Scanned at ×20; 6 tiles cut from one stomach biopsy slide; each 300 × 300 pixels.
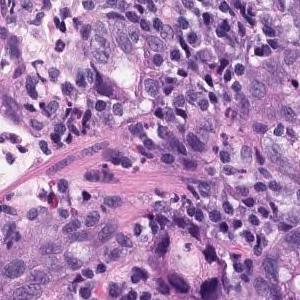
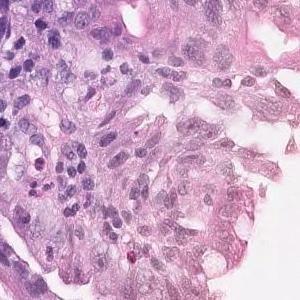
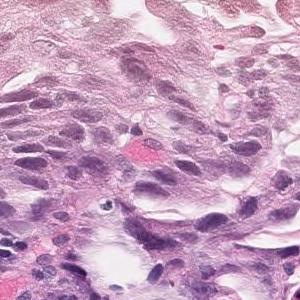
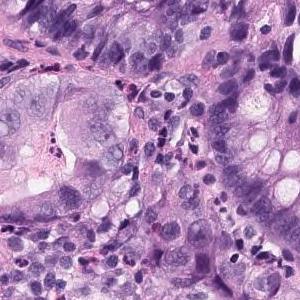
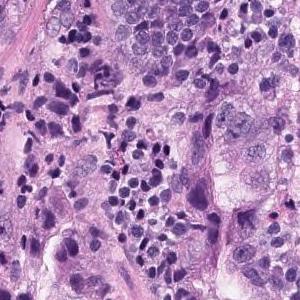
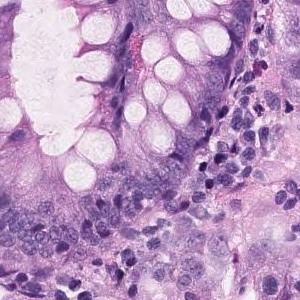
Report on the slide these tiles come from. What the report and the diagnosis say applies to the whole slide; these tiles may miss some of the features named and may include tissue that is not tumor.
In the superficial epithelium, tumor tissue that invades by forming medium-sized to small irregular glandular ducts is observed. Moderately differentiated adenocarcinoma.
Histological subtype: Moderately differentiated tubular adenocarcinoma.
